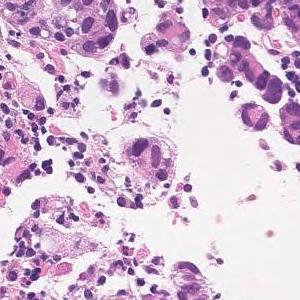
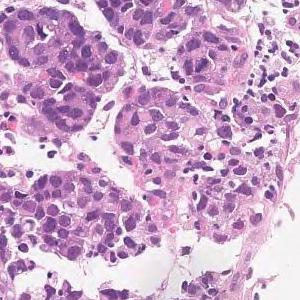
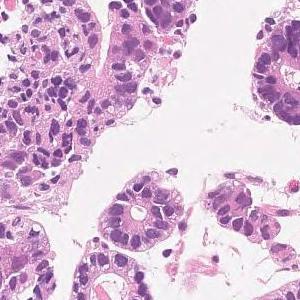
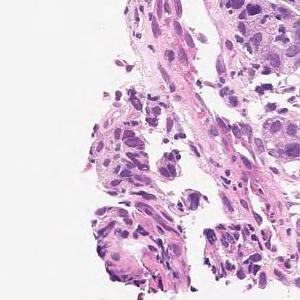
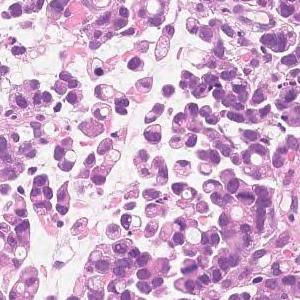
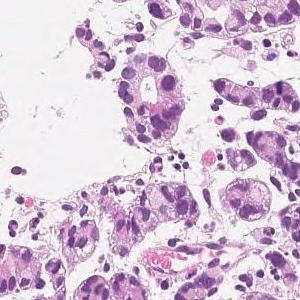
Scanned at ×20 · 6 patches cut from one gastric biopsy slide · each 300 × 300 pixels.
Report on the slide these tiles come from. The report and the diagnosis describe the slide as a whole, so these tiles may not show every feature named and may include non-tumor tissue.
Medium to small, irregular glandular ducts are formed in the superficial epithelium, and in some cases, the glandular ducts are fused to show solid alveolar lesions and infiltrating tumor tissue is observed. Moderately to poorly differentiated adenocarcinoma.
